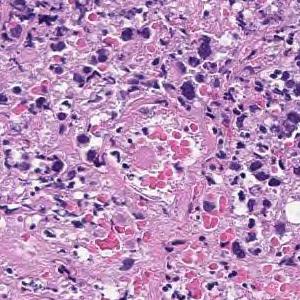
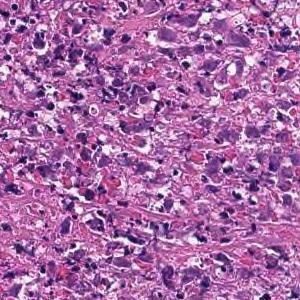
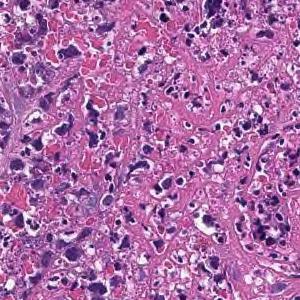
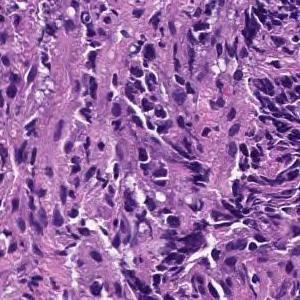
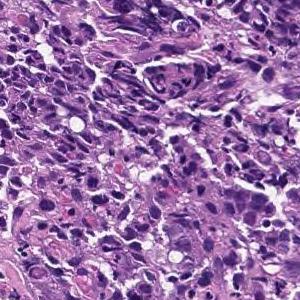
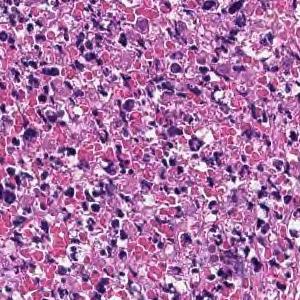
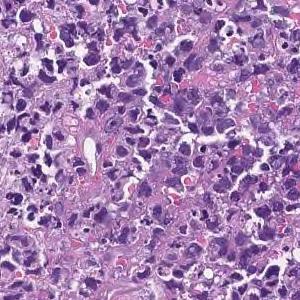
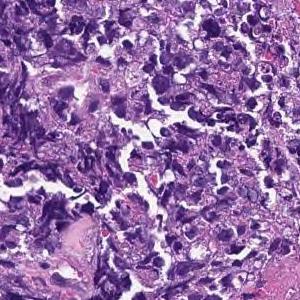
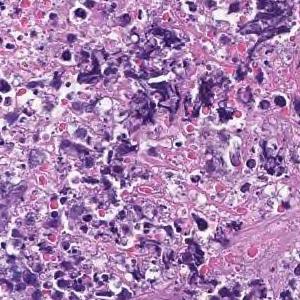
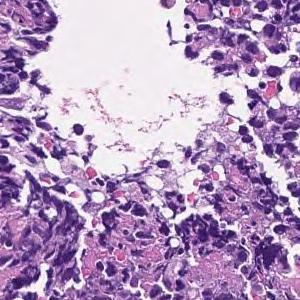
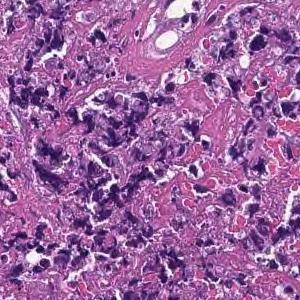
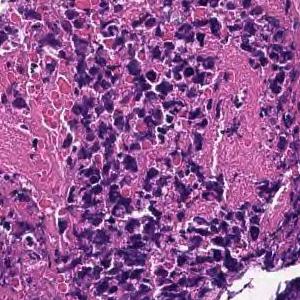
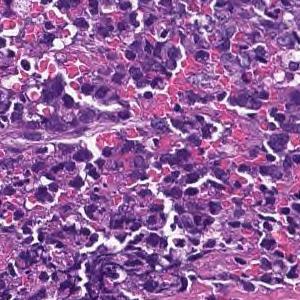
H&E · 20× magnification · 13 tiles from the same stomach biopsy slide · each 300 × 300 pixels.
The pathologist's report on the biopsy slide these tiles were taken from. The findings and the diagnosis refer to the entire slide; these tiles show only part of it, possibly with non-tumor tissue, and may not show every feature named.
Most are composed of coagulative necrotic tissue, but some show a large sheet-like shape, and some show tumor tissue infiltrating with a small cord-like structure. Poorly differentiated adenocarcinoma, solid-type
Tumor subtype: poorly differentiated adenocarcinoma, solid type. This name comes from the Japanese Classification of Gastric Carcinoma; the WHO 2019 classification calls it tubular adenocarcinoma, poorly differentiated.
